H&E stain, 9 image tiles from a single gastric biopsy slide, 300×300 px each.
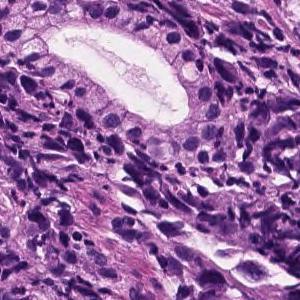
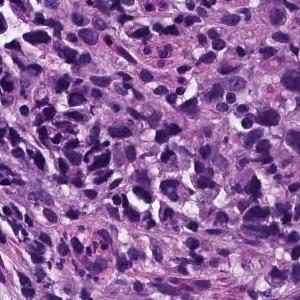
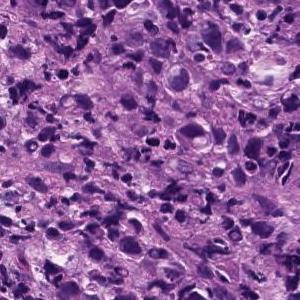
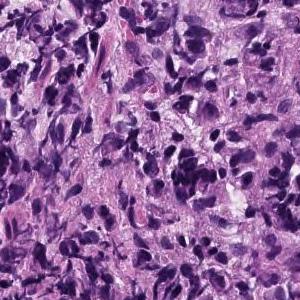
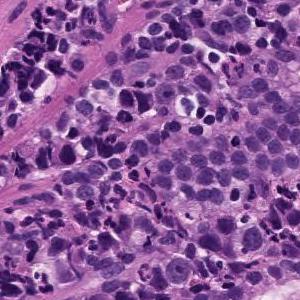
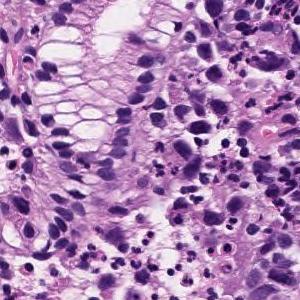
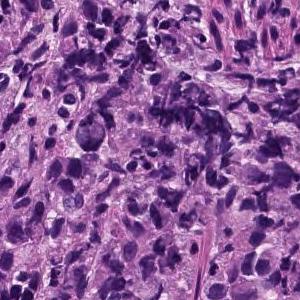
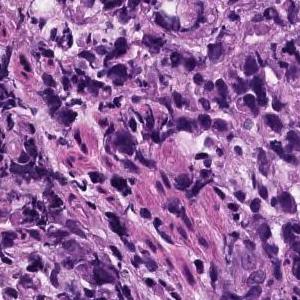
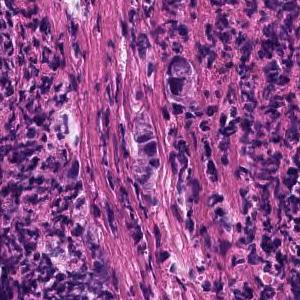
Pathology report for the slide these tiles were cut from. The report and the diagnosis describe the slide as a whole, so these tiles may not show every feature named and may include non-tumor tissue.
Poorly differentiated, solid adenocarcinoma (poorly differentiated adenocarcinoma, solid type) with tumor tissue diffusely infiltrated with atypical epithelial cells
Histologic type: Poorly differentiated adenocarcinoma, solid type. This name comes from the Japanese Classification of Gastric Carcinoma; the WHO 2019 classification calls it tubular adenocarcinoma, poorly differentiated.
